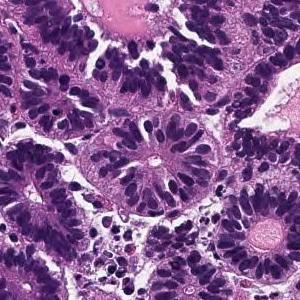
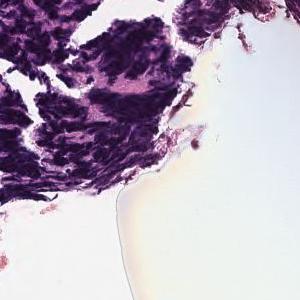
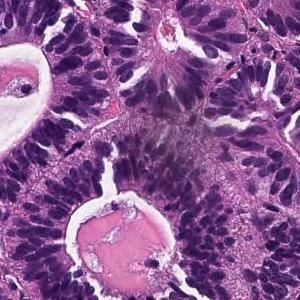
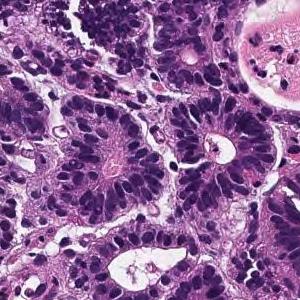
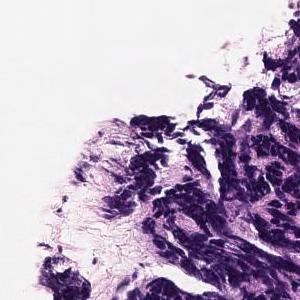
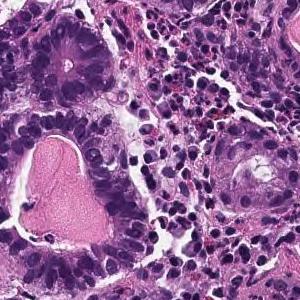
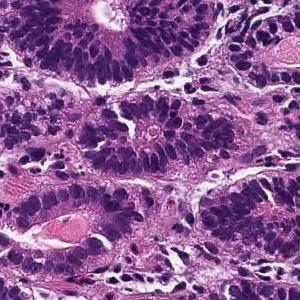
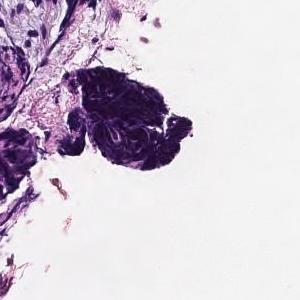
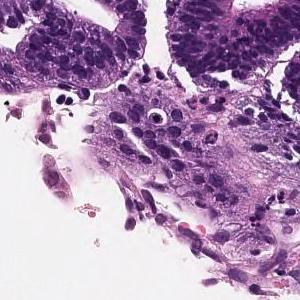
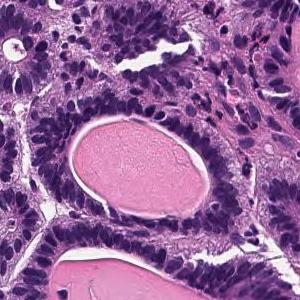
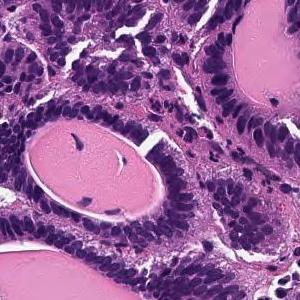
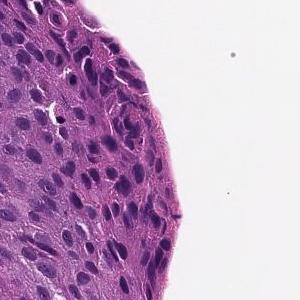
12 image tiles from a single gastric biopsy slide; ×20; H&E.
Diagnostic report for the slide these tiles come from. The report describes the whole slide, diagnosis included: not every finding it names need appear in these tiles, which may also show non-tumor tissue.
From the superficial epithelium to the muscularis mucosae, tumor tissue consisting of medium-sized and irregular glandular ducts infiltrating is observed. Well differentiated tubular adenocarcinoma
